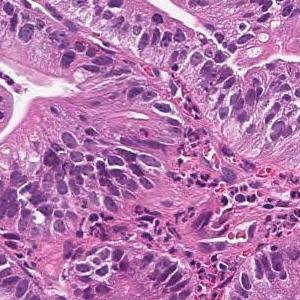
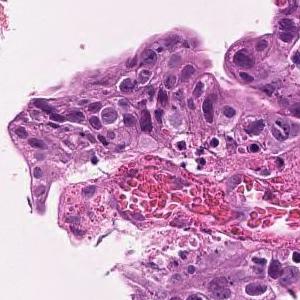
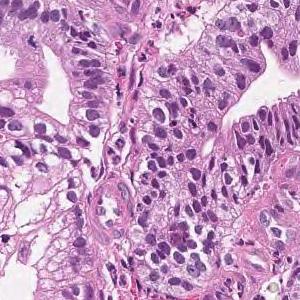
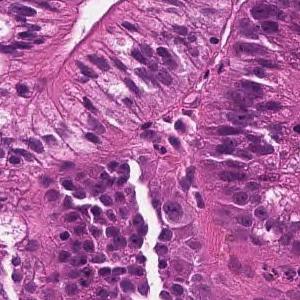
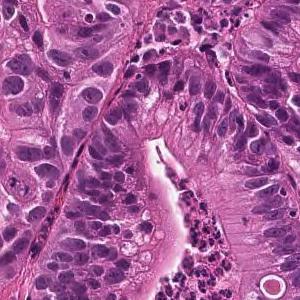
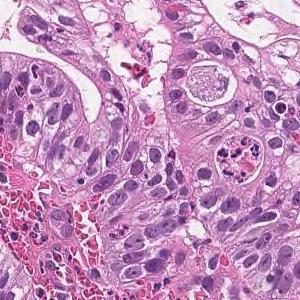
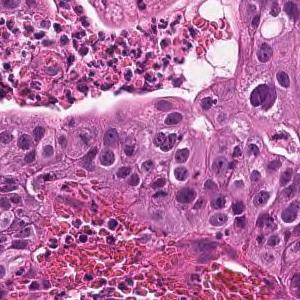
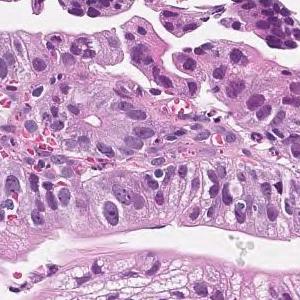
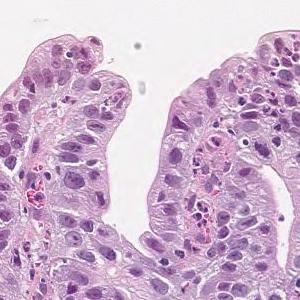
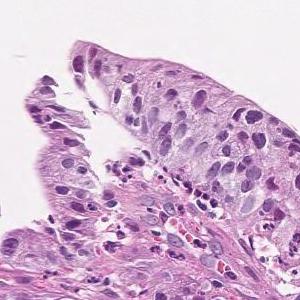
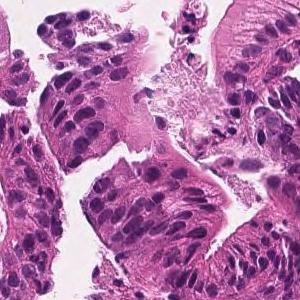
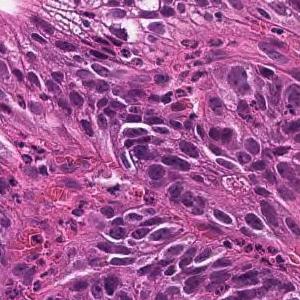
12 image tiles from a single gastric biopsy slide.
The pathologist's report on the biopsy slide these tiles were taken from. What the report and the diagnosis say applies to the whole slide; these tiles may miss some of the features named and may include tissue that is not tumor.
Tumor cells are large, highly columnar, large club-shaped nuclei, and are associated with chromatin aggregation. Papillary adenocarcinoma.
